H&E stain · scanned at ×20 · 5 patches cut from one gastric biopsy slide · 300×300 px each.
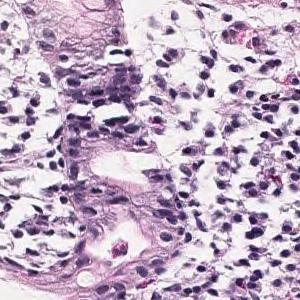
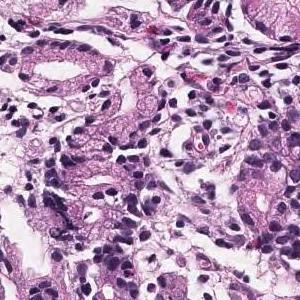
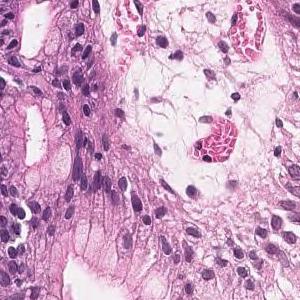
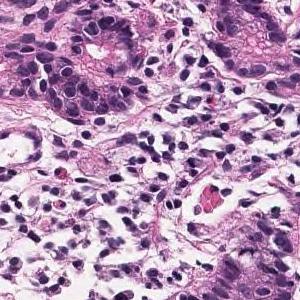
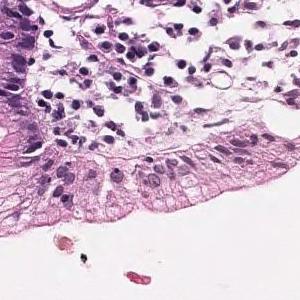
Pathology report for the biopsy slide these tiles were cut from. What the report and the diagnosis say applies to the whole slide; these tiles may miss some of the features named and may include tissue that is not tumor.
Tumor tissue that grows and grows is observed, showing a medium-sized round or irregular duct. moderately differentiated tubular adenocarcinoma
